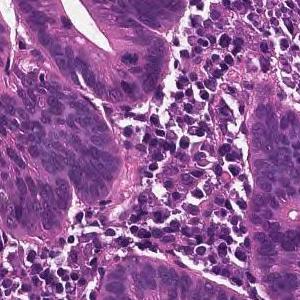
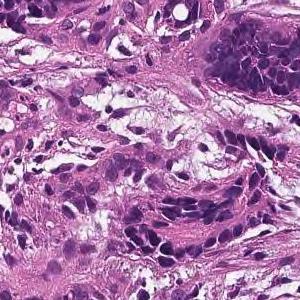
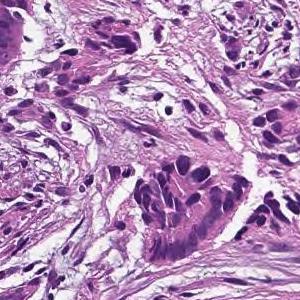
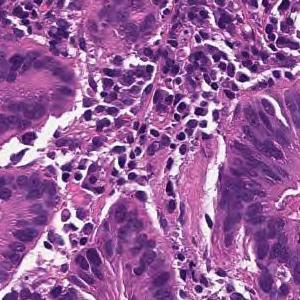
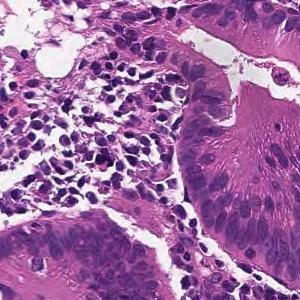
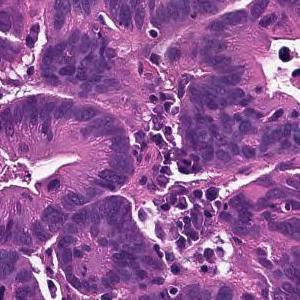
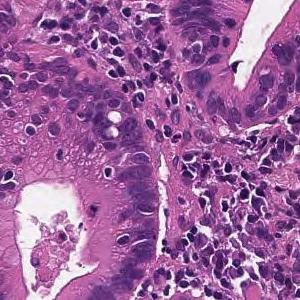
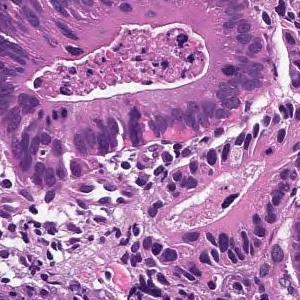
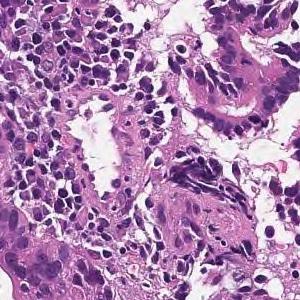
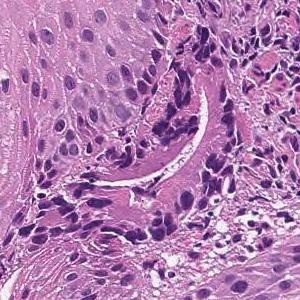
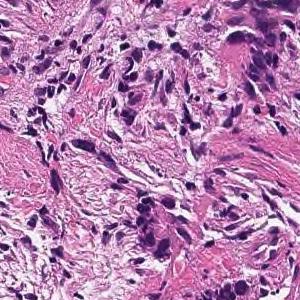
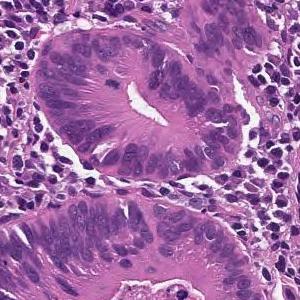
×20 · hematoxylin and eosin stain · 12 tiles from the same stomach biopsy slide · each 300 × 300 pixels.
The pathologist's report on the biopsy slide these tiles were taken from. The report and the diagnosis describe the slide as a whole, so these tiles may not show every feature named and may include non-tumor tissue.
From the superficial epithelium to the muscularis mucosae, tumor tissue consisting of medium-sized and irregular glandular ducts infiltrating is observed. Well differentiated tubular adenocarcinoma
